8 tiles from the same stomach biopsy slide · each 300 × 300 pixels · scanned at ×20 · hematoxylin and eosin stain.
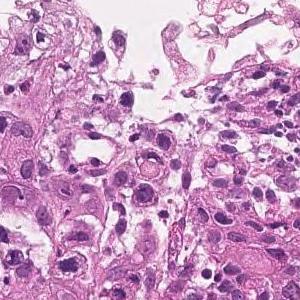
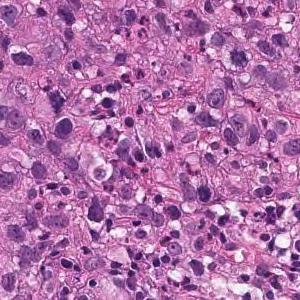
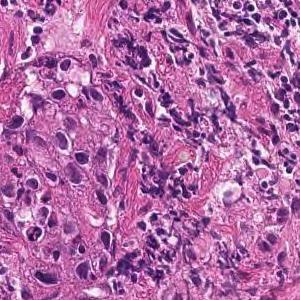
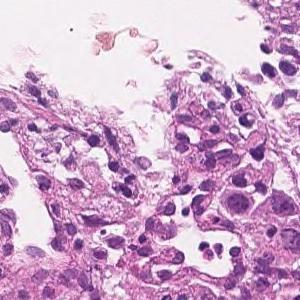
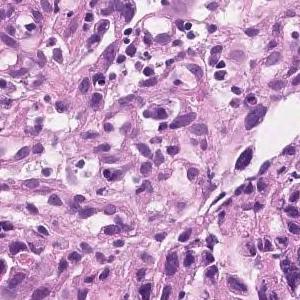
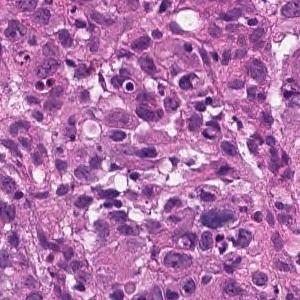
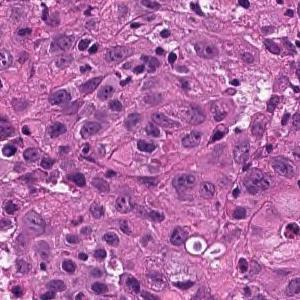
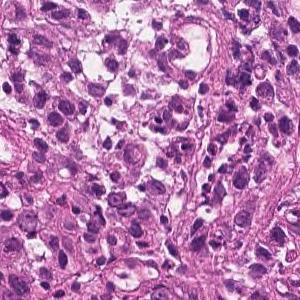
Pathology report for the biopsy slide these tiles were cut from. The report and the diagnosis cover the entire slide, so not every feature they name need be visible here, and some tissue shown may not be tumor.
The superficial epithelium shows a large sheet-like shape, and some tumor tissue infiltrates with small irregular ducts. Poorly differentiated adenocarcinoma, solid-type
Histological subtype: Poorly differentiated adenocarcinoma, solid type, a category of the Japanese Classification of Gastric Carcinoma; in the WHO 2019 classification it is tubular adenocarcinoma, poorly differentiated.
